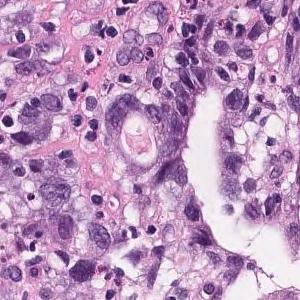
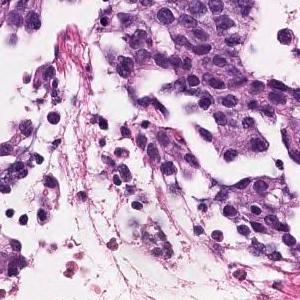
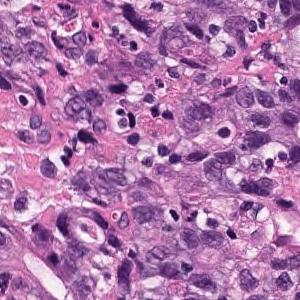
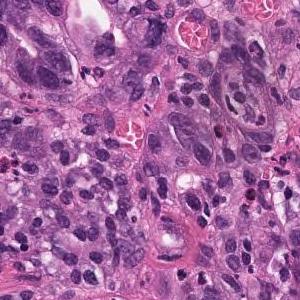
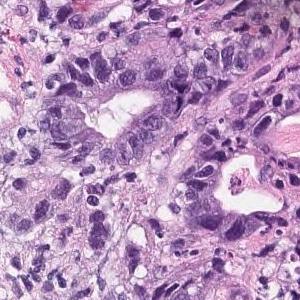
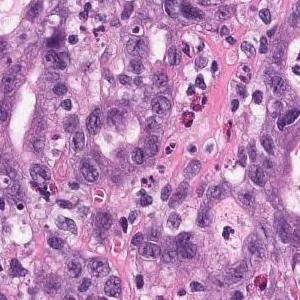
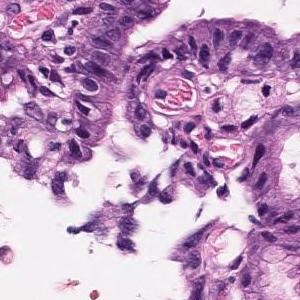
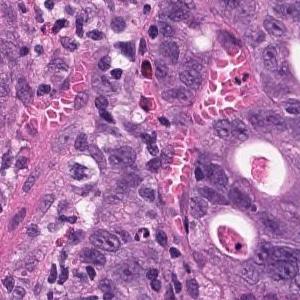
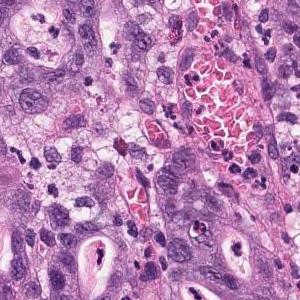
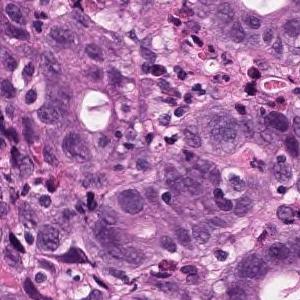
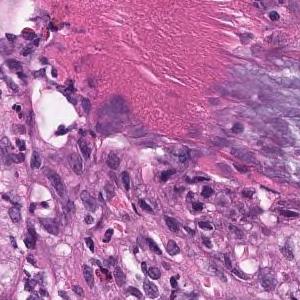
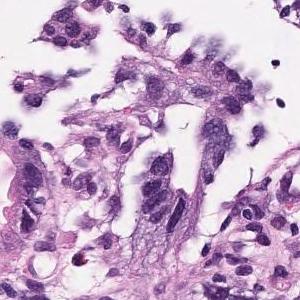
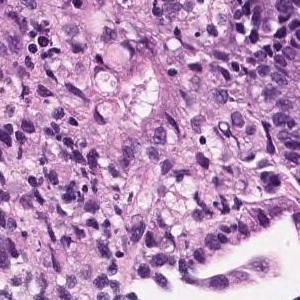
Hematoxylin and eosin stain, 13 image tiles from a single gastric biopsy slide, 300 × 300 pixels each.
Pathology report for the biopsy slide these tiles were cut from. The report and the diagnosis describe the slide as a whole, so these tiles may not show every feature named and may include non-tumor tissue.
Atypical ducts proliferating with obscure duct construction and solid sequences is observed. Moderately to poorly differentiated adenocarcinoma.
